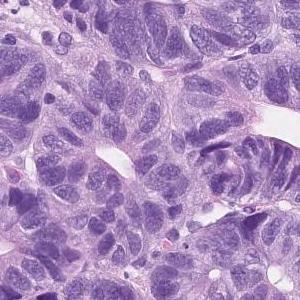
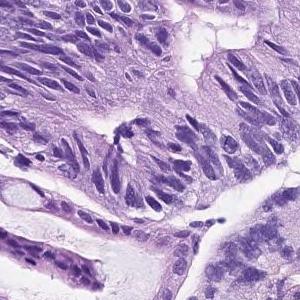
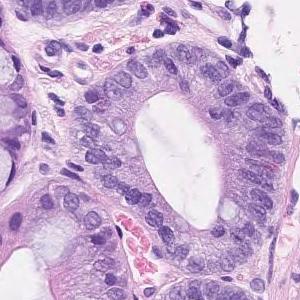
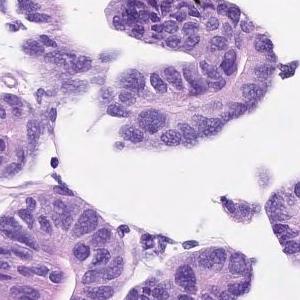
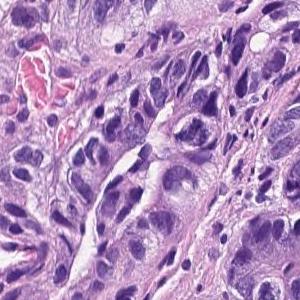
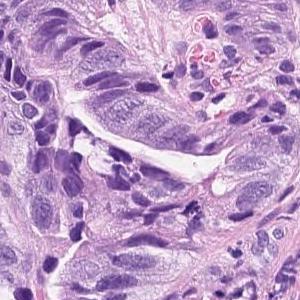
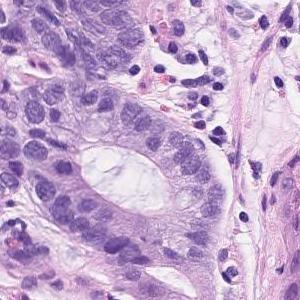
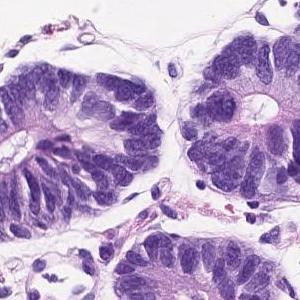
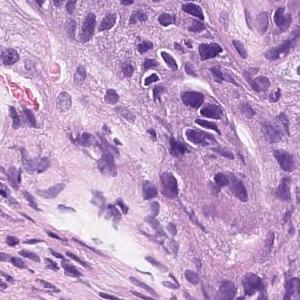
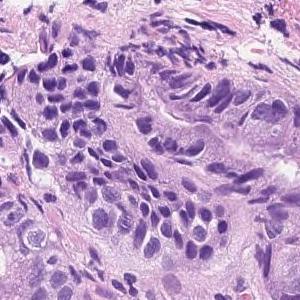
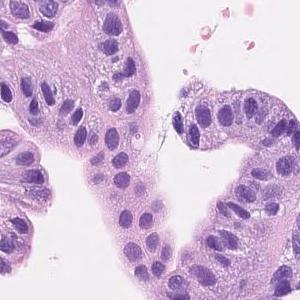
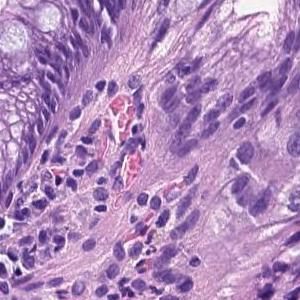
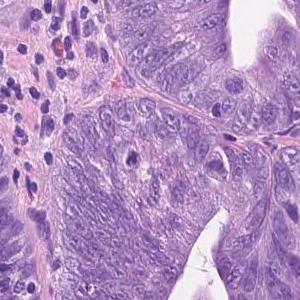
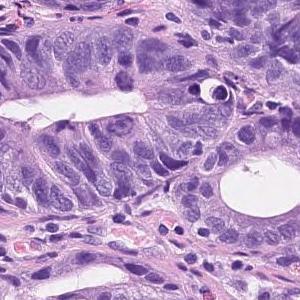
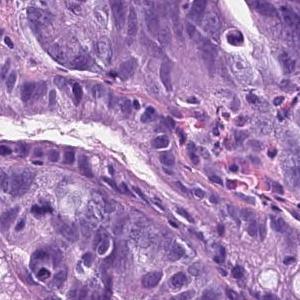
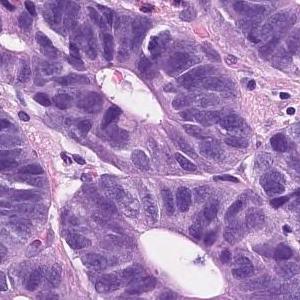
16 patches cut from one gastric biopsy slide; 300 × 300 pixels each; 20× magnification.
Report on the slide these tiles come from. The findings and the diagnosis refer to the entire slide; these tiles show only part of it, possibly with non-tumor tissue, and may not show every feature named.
Tumor tissue consisting of medium-sized and irregular ducts is observed infiltrating in the superficial epithelium. Tumor cells are highly columnar, with nuclei aligned basolaterally and polarized. Well differentiated tubular adenocarcinoma.
